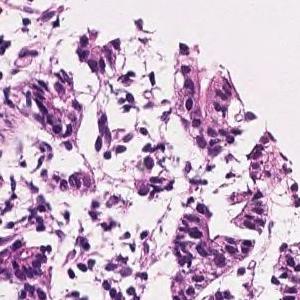
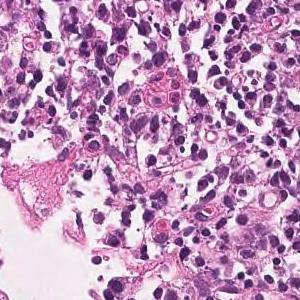
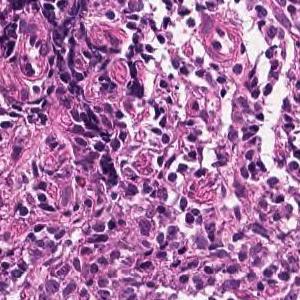
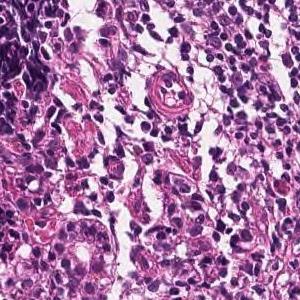
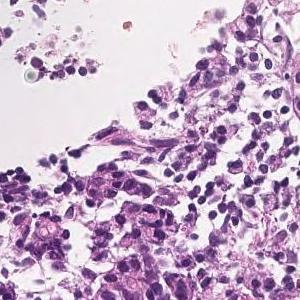
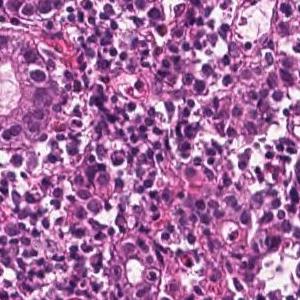
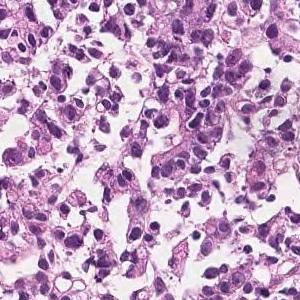
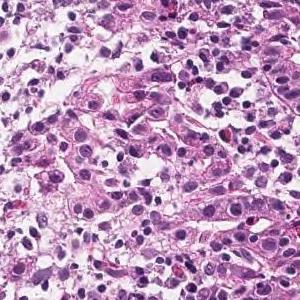
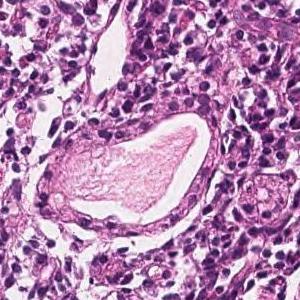
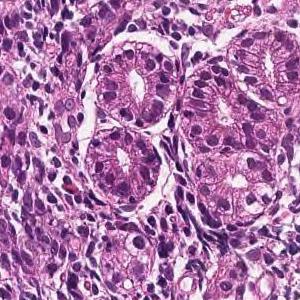
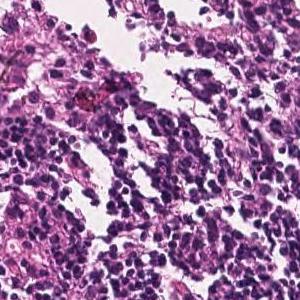
20× magnification · H&E · 11 tiles from the same stomach biopsy slide.
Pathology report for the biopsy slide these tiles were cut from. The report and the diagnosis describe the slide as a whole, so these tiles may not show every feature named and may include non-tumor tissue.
Tumor tissue consisting of cord-like or small, irregular glandular ducts fused and infiltrated is observed in the superficial epithelium. Poorly differentiated adenocarcinoma, non-solid type
The non-solid type named here is a Japanese Classification of Gastric Carcinoma category.
